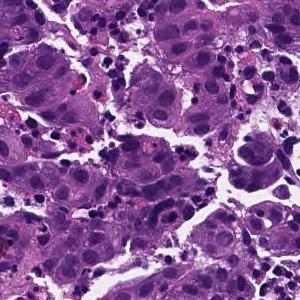
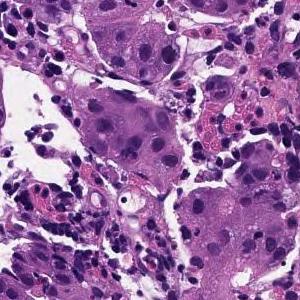
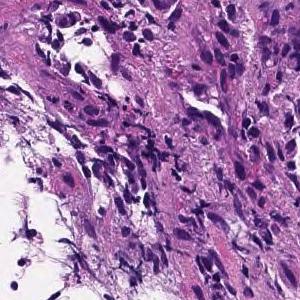
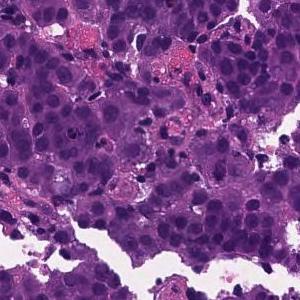
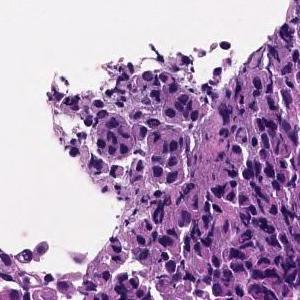
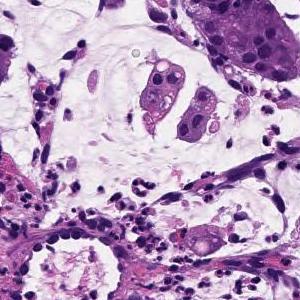
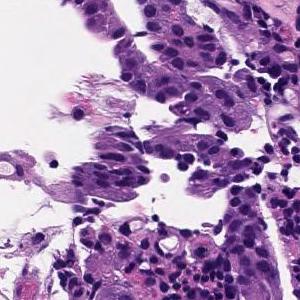
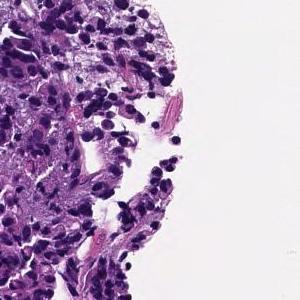
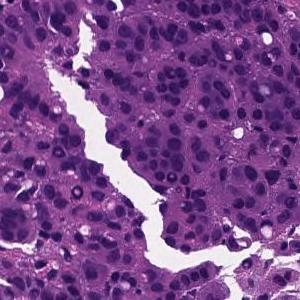
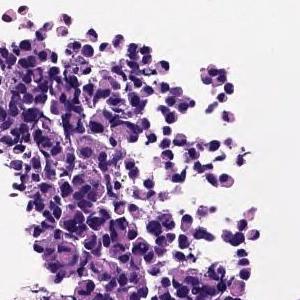
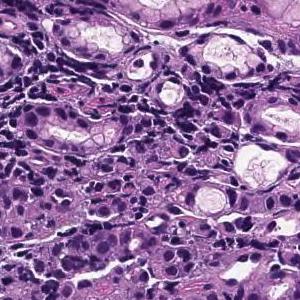
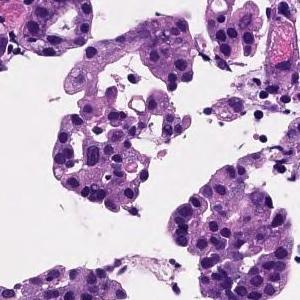
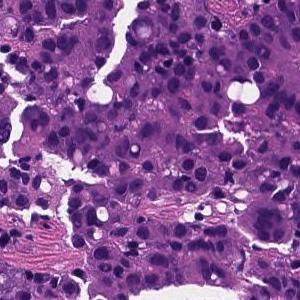
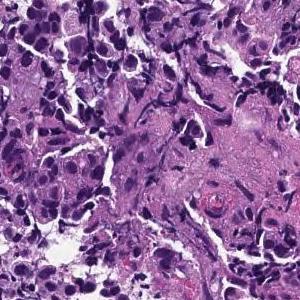
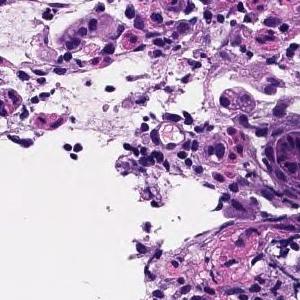
15 patches cut from one gastric biopsy slide, 20× magnification, H&E stain.
Report on the slide these tiles come from. What the report and the diagnosis say applies to the whole slide; these tiles may miss some of the features named and may include tissue that is not tumor.
The superficial epithelium shows a large sheet-like shape, and some tumor tissue infiltrates with small irregular ducts. Poorly differentiated adenocarcinoma, solid-type
Classified as poorly differentiated adenocarcinoma, solid type, a category of the Japanese Classification of Gastric Carcinoma; in the WHO 2019 classification it is tubular adenocarcinoma, poorly differentiated.
